Hematoxylin and eosin stain; 10 image tiles from a single gastric biopsy slide.
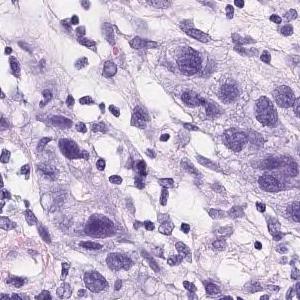
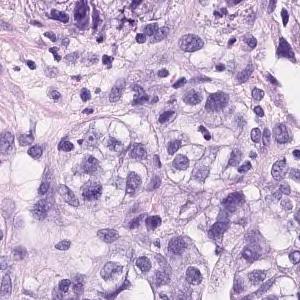
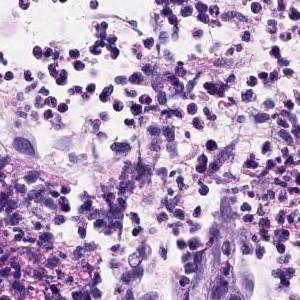
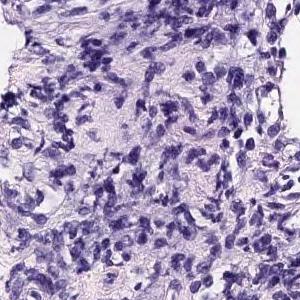
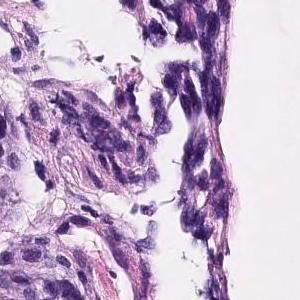
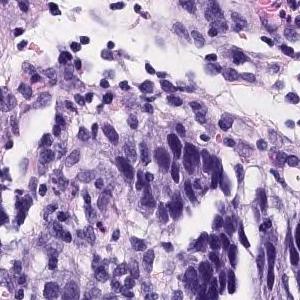
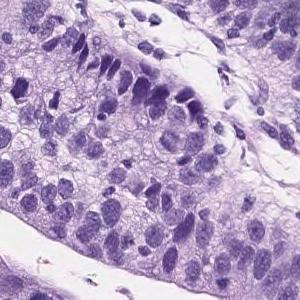
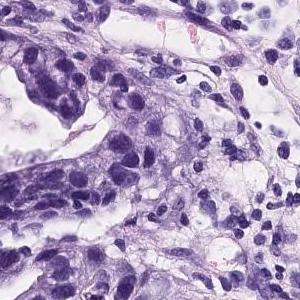
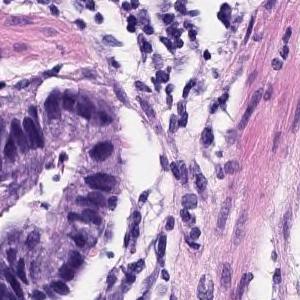
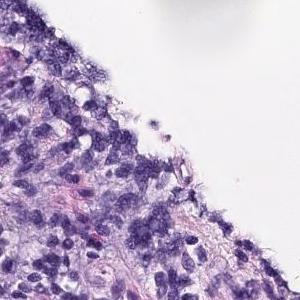
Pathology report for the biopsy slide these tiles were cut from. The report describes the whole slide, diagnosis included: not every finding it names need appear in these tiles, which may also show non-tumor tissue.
On the superficial epithelium, tumor tissue consisting of medium to small irregular tubules partially fused and proliferated is observed. moderately differentiated tubular adenocarcinoma
